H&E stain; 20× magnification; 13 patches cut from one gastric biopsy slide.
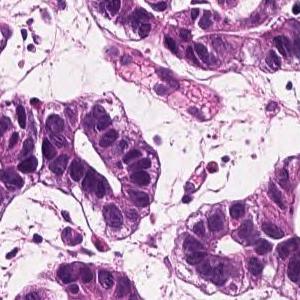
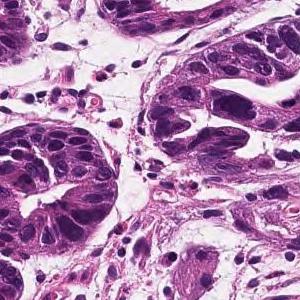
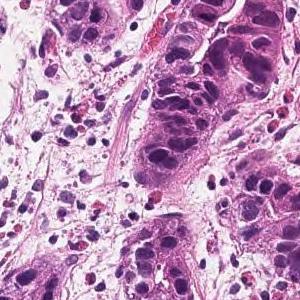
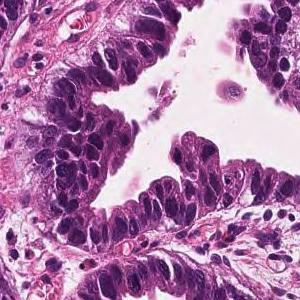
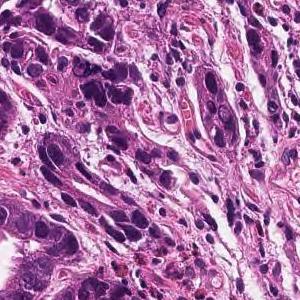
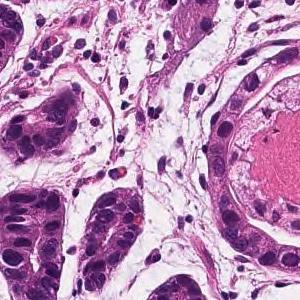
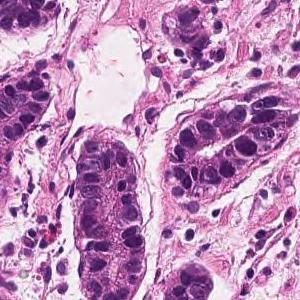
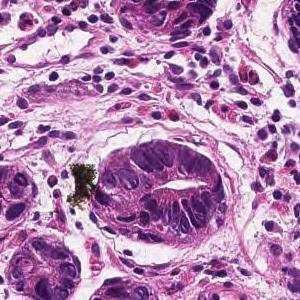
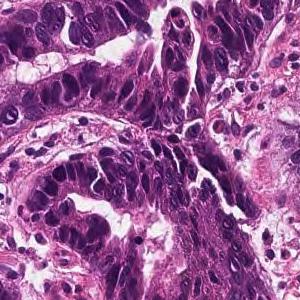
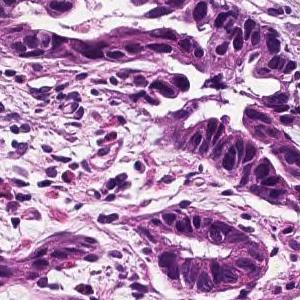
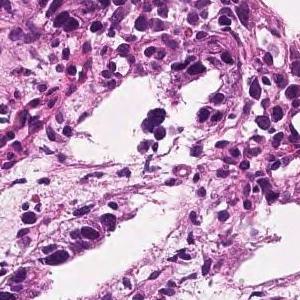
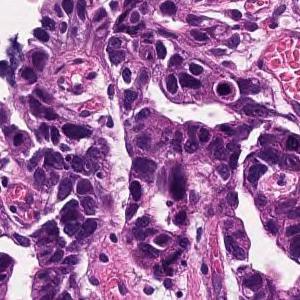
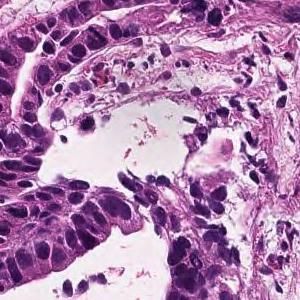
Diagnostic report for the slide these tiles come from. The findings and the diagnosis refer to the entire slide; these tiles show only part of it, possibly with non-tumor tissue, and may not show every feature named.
In the superficial epithelium, tumor tissue that invades by forming medium-sized to small, irregular ducts is observed. Well differentiated tubular adenocarcinoma.
